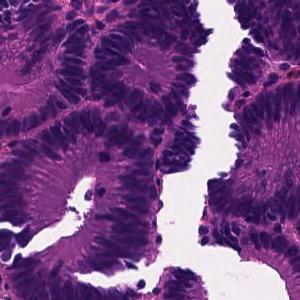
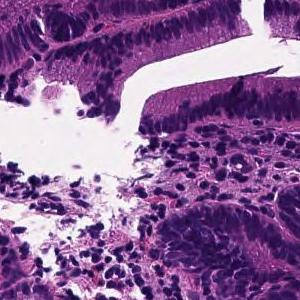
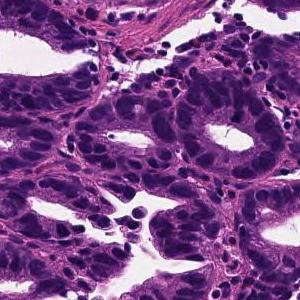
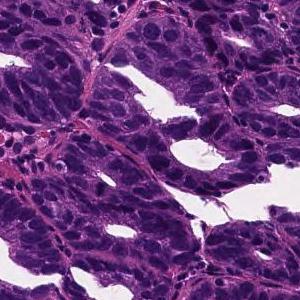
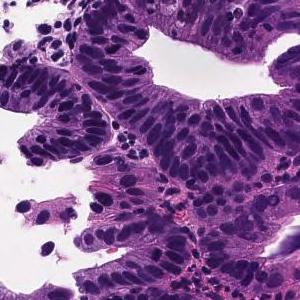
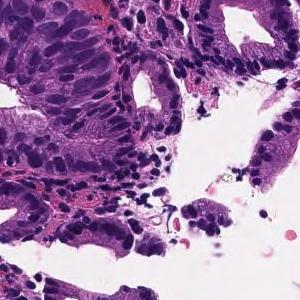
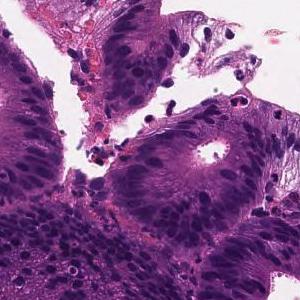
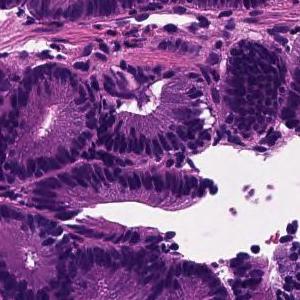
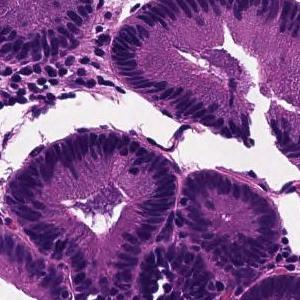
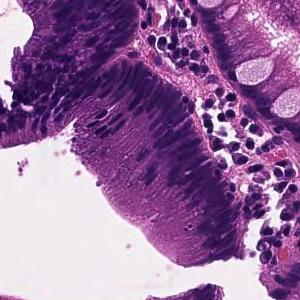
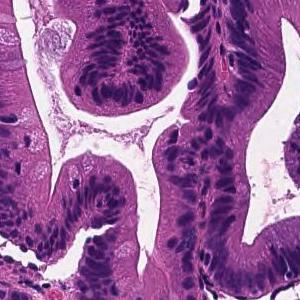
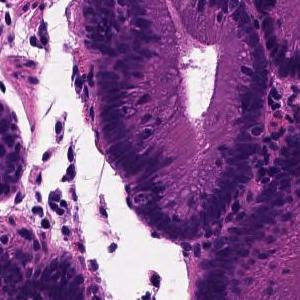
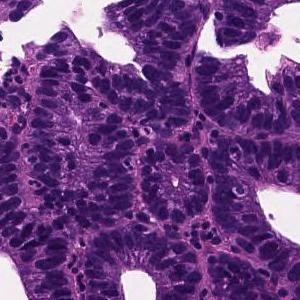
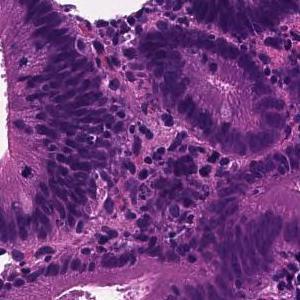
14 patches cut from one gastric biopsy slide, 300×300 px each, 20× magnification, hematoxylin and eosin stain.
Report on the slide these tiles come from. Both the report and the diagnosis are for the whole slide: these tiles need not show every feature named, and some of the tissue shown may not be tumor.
Tumor tissue in which medium to small irregular ducts infiltrate and proliferate in the submucosa can be seen in the epithelium. Well differentiated tubular adenocarcinoma
